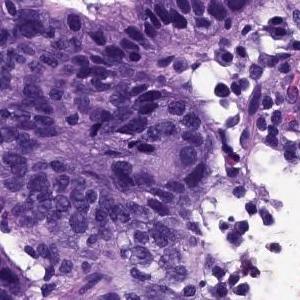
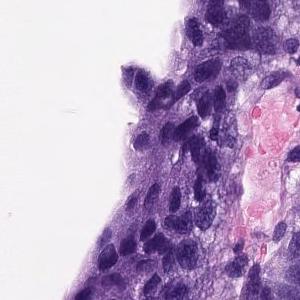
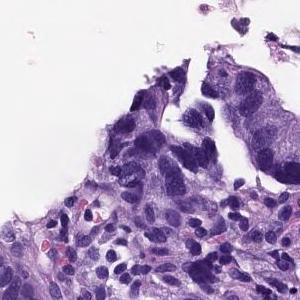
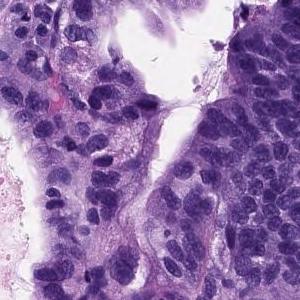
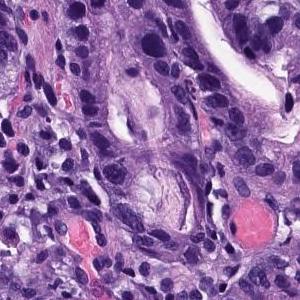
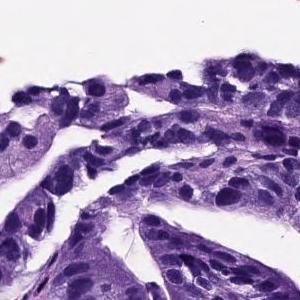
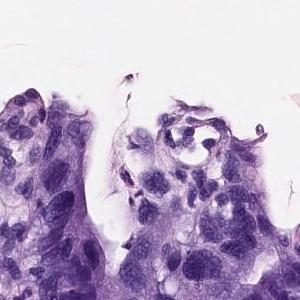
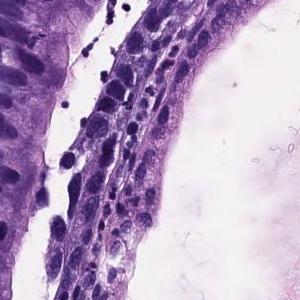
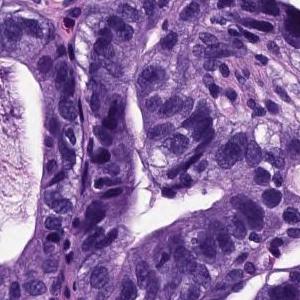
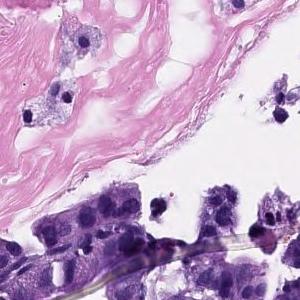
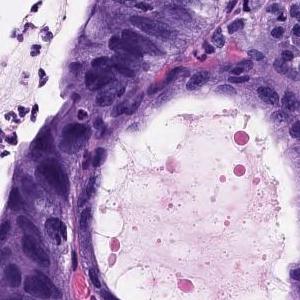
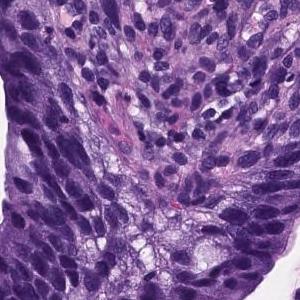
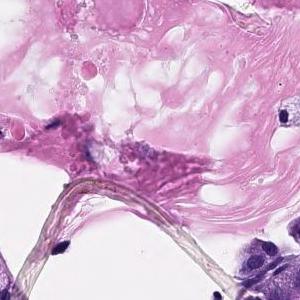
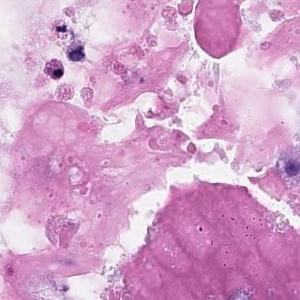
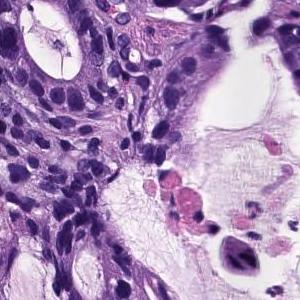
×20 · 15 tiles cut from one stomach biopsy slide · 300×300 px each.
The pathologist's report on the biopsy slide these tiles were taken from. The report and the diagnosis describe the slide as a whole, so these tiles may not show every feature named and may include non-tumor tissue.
There are atypical l cells with atypical nuclei forming irregular glandular ducts and growing in a complex manner. Well differentiated tubular adenocarcinoma
